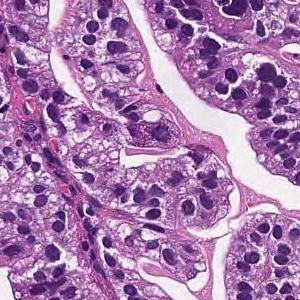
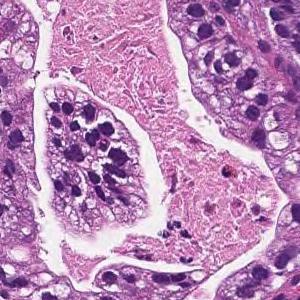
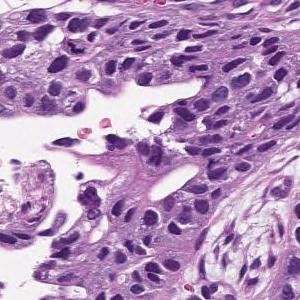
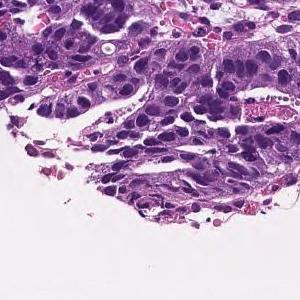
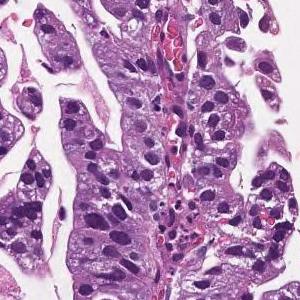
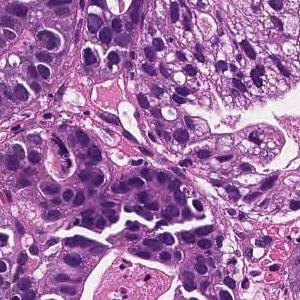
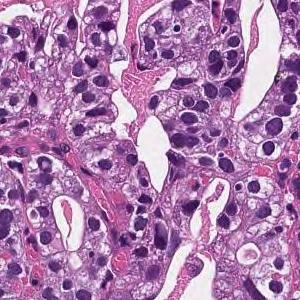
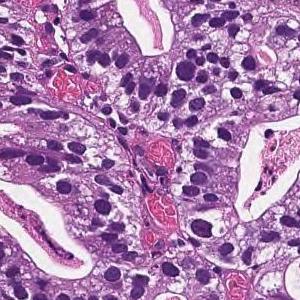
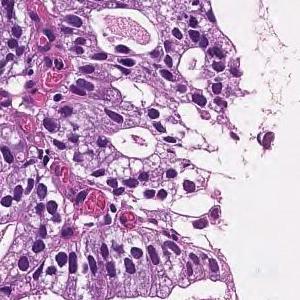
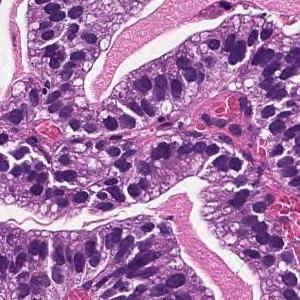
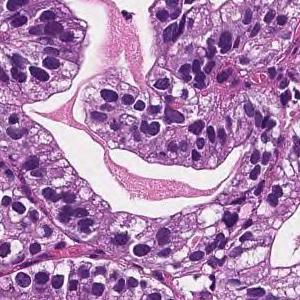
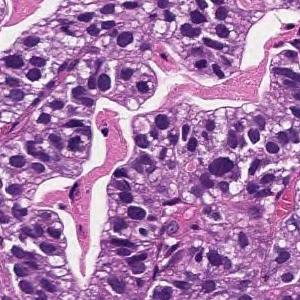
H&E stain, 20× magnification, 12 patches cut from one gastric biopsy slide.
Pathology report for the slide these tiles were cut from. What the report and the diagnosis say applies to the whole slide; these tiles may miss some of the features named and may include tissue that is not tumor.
On the superficial epithelium, tumor tissue consisting of large, irregular glandular ducts partially fused and infiltrated is observed. Well to moderately differentiated tubular adenocarcinoma (well differentiated tubular adenocarcinoma, moderately differentiated tubular adenocarcinoma)
Subtype: Well to moderately differentiated tubular adenocarcinoma.
